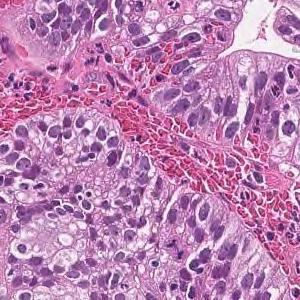
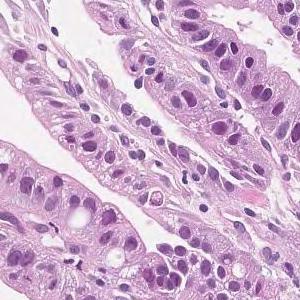
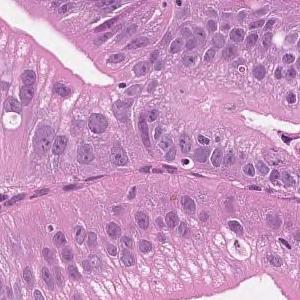
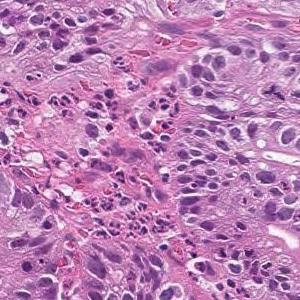
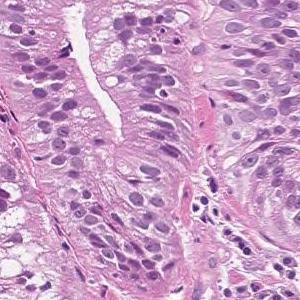
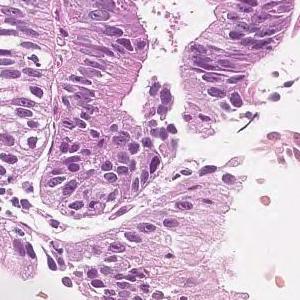
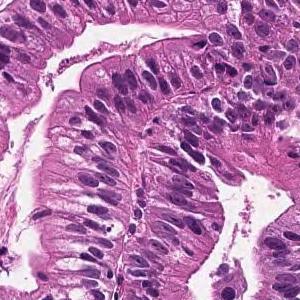
7 patches cut from one gastric biopsy slide; 300×300 px each; ×20; H&E.
The pathologist's report on the biopsy slide these tiles were taken from. What the report and the diagnosis say applies to the whole slide; these tiles may miss some of the features named and may include tissue that is not tumor.
Tumor cells are large, highly columnar, large club-shaped nuclei, and are associated with chromatin aggregation. Papillary adenocarcinoma.
